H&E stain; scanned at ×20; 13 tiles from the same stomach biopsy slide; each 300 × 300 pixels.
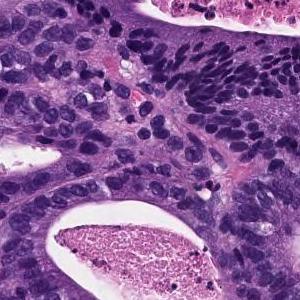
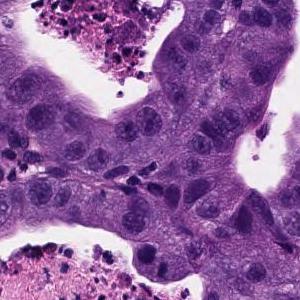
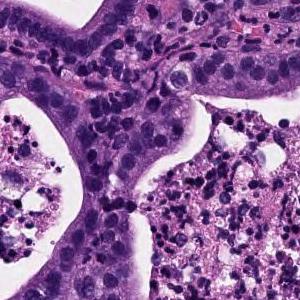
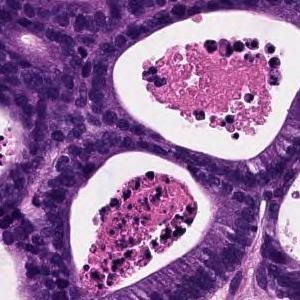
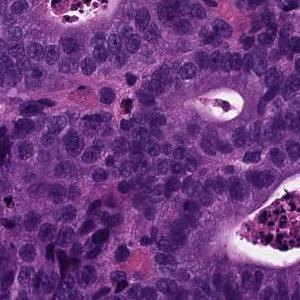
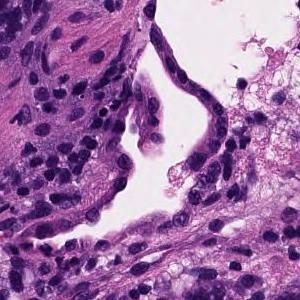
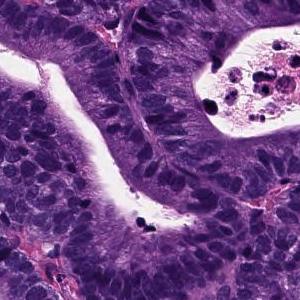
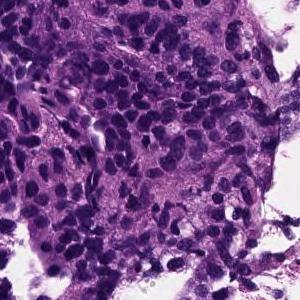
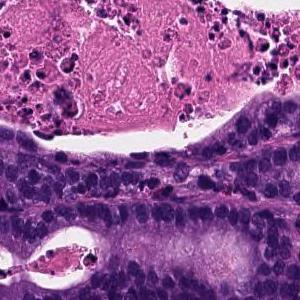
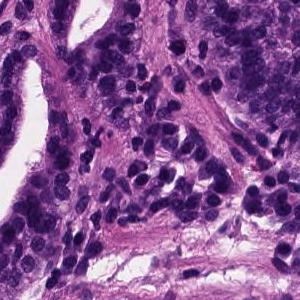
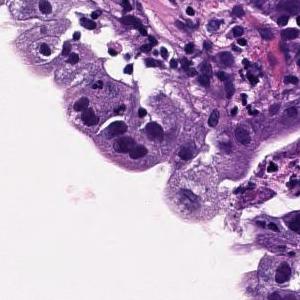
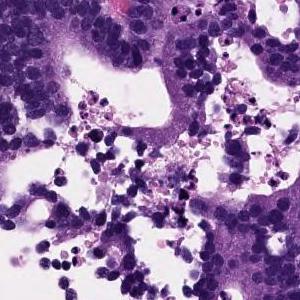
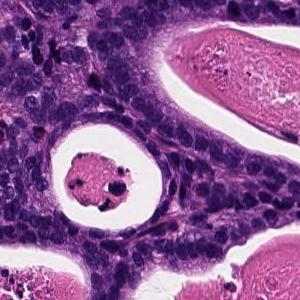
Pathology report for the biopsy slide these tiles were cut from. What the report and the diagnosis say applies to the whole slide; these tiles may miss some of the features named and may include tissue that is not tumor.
From the superficial epithelium to the muscularis mucosae, tumor tissue consisting of medium-sized and irregular glandular ducts infiltrating is observed. Well differentiated tubular adenocarcinoma
